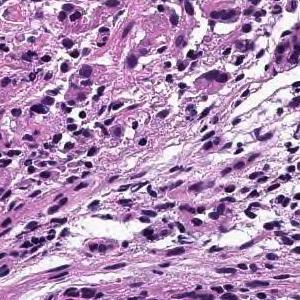
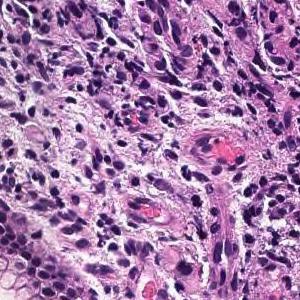
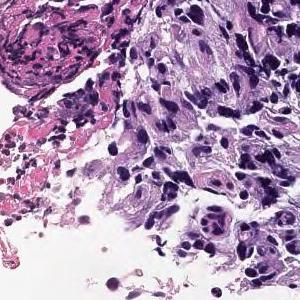
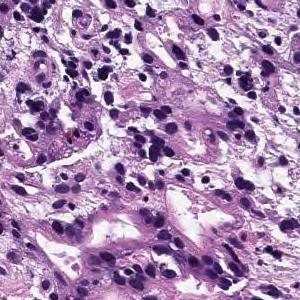
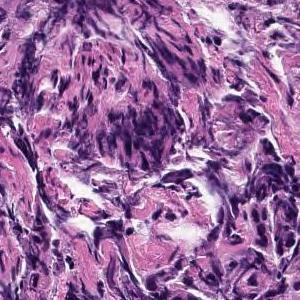
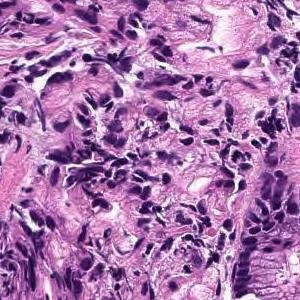
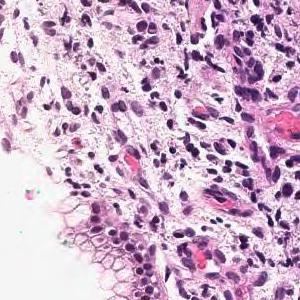
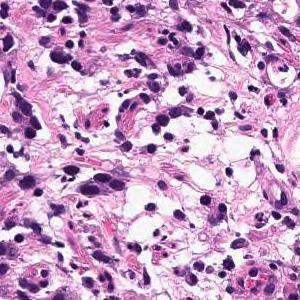
20× magnification · 8 patches cut from one gastric biopsy slide.
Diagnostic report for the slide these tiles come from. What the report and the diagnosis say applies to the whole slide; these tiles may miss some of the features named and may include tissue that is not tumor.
Tumor tissue consisting of cord-like or small, irregular glandular ducts fused and infiltrated is observed in the superficial epithelium. Poorly differentiated adenocarcinoma, non-solid type
"Non-solid type" is a category of the Japanese Classification of Gastric Carcinoma.
